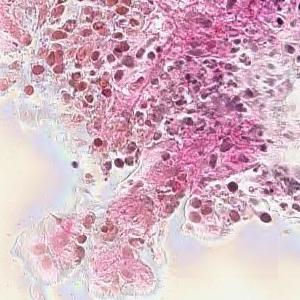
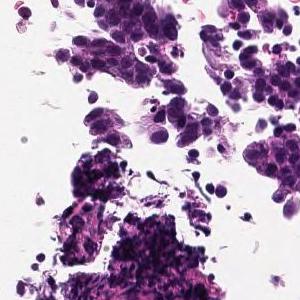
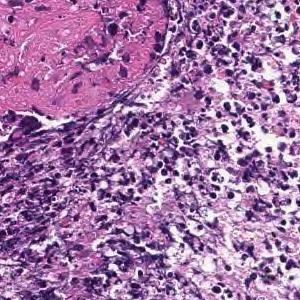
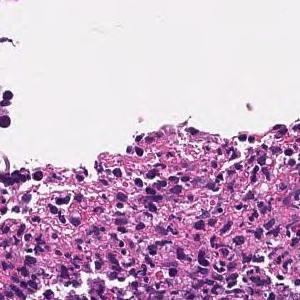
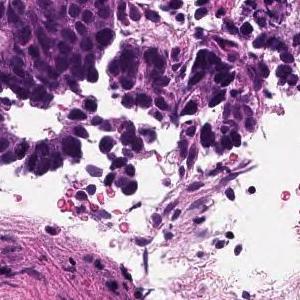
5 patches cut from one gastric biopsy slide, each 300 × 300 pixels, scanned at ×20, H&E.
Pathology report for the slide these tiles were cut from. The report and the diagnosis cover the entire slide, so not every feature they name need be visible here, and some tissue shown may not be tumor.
In the superficial epithelium, tumor tissue that invades by forming medium-sized to small, irregular ducts is observed. moderately differentiated tubular adenocarcinoma.
